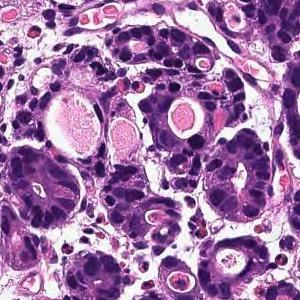
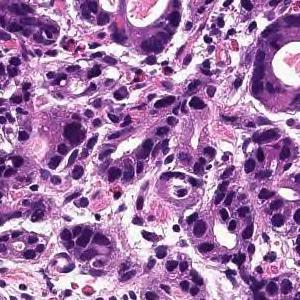
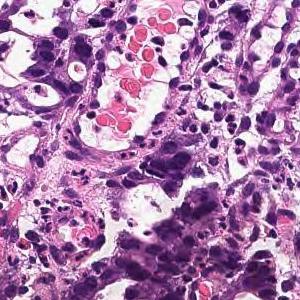
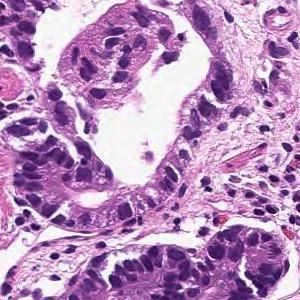
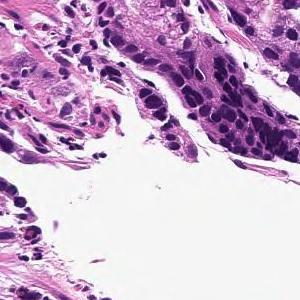
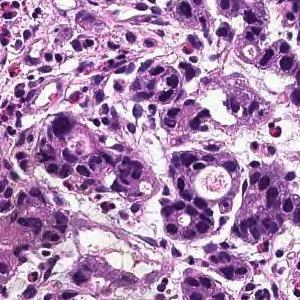
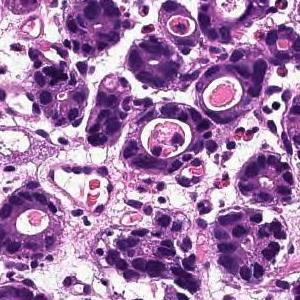
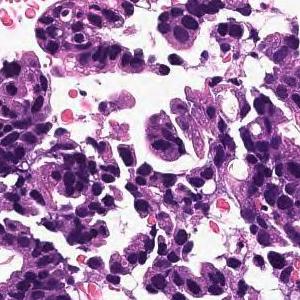
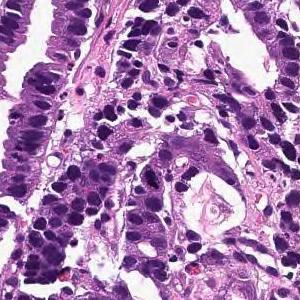
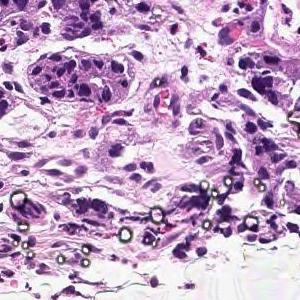
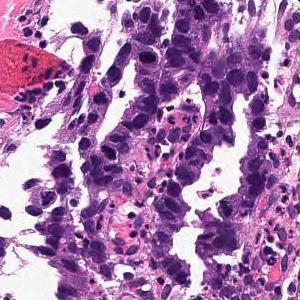
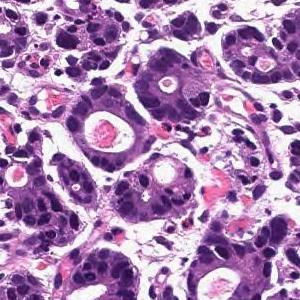
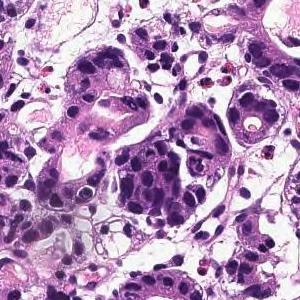
13 patches cut from one gastric biopsy slide, each 300 × 300 pixels.
Report on the slide these tiles come from. The report describes the whole slide, diagnosis included: not every finding it names need appear in these tiles, which may also show non-tumor tissue.
In the superficial epithelium, tumor tissue that invades by forming medium-sized to small, irregular ducts is observed. moderately differentiated tubular adenocarcinoma.
